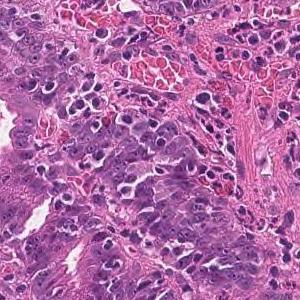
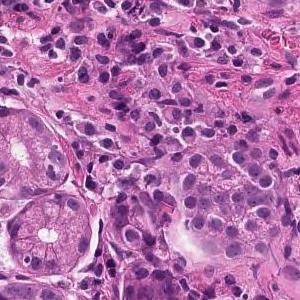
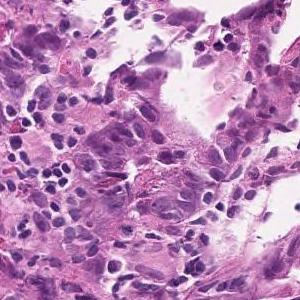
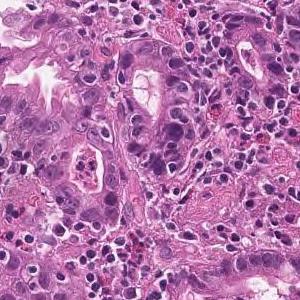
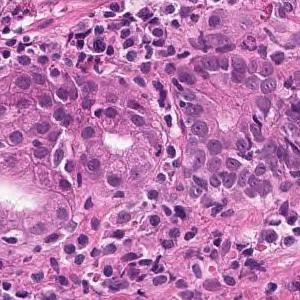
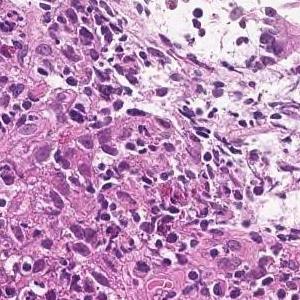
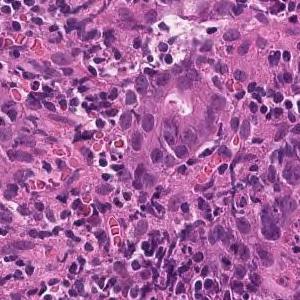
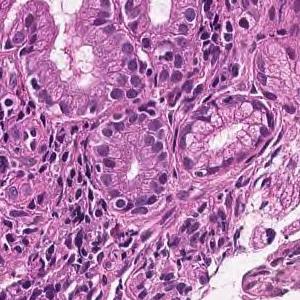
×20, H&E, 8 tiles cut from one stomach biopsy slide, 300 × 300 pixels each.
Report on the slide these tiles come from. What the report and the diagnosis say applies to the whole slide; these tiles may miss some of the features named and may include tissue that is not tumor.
Tumor tissue consisting of medium-sized, cord-like or irregular glandular infiltration is observed in the superficial epithelium. Poorly differentiated adenocarcinoma, non-solid type or moderately differentiated tubular adenocarcinoma
Labeled in the dataset as poorly differentiated adenocarcinoma, non-solid type.
The term "non-solid type" comes from the Japanese Classification of Gastric Carcinoma.
